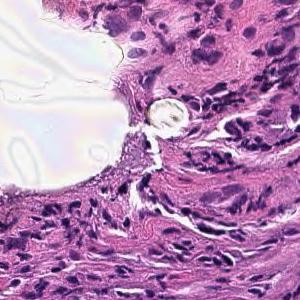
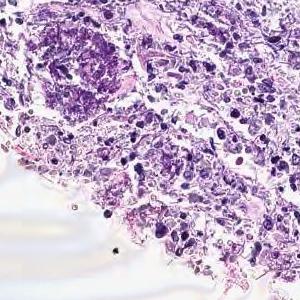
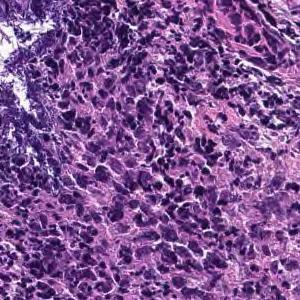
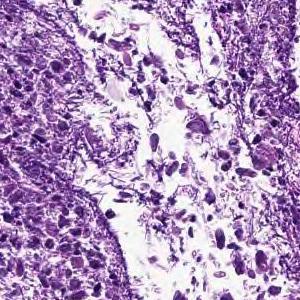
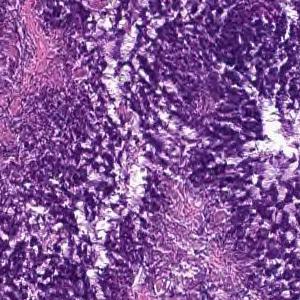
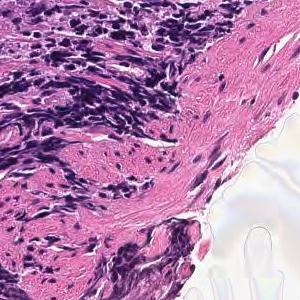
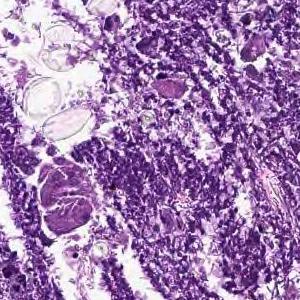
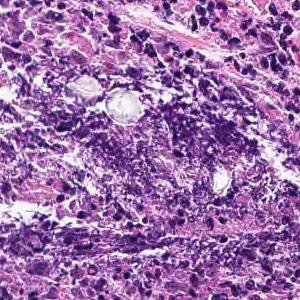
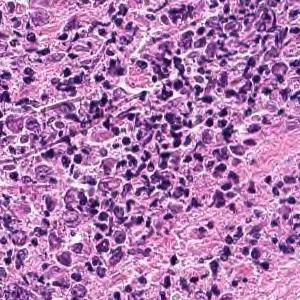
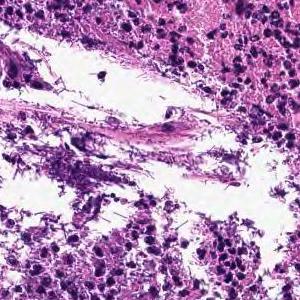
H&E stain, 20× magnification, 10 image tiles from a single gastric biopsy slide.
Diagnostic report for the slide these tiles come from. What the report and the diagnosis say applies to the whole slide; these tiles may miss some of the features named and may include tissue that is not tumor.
Cancers with polygonal nuclei do not show glandular formation and are densely, in part, cord-like and proliferate. Poorly differentiated adenocarcinoma
Tumor subtype: poorly differentiated adenocarcinoma, non-solid type.
"Non-solid type" is a category of the Japanese Classification of Gastric Carcinoma.
